6 image tiles from a single gastric biopsy slide; ×20; H&E.
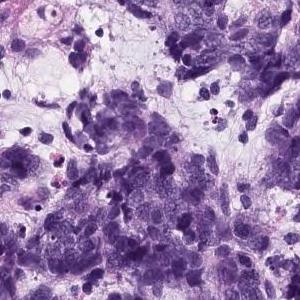
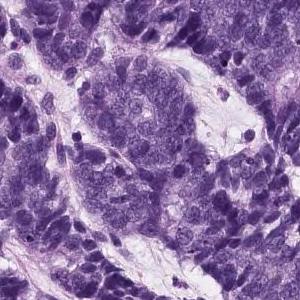
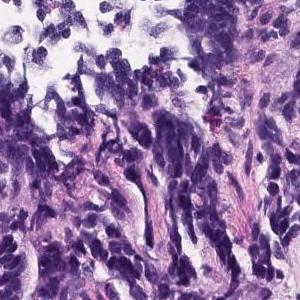
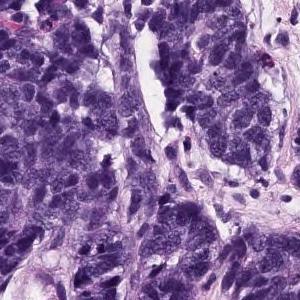
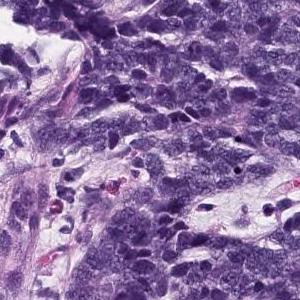
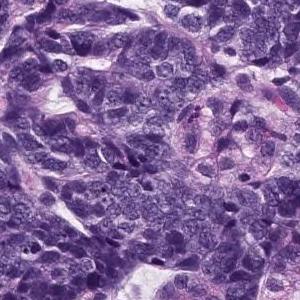
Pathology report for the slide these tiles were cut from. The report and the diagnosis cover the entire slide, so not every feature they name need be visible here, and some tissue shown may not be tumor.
Group 5, Adenocarcinoma. Moderately to poorly differentiated adenocarcinoma
